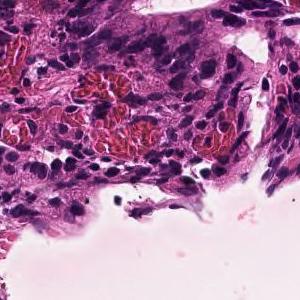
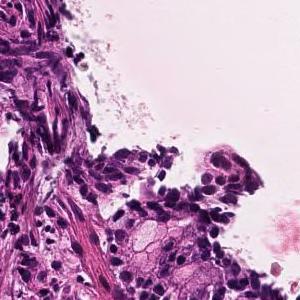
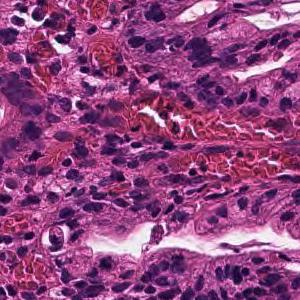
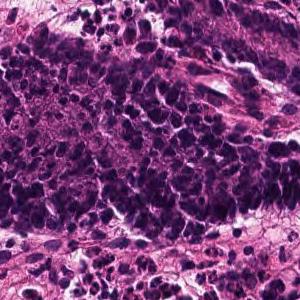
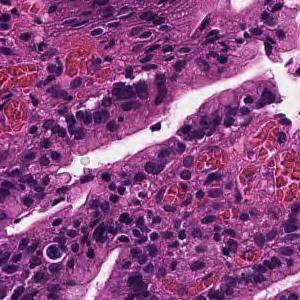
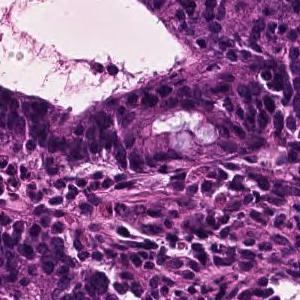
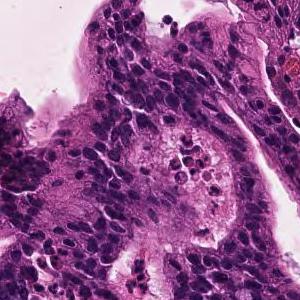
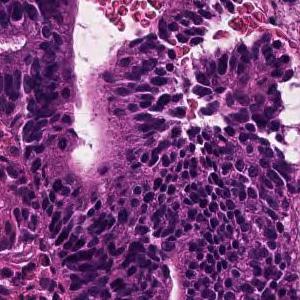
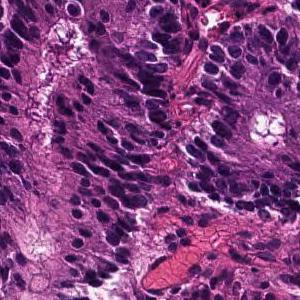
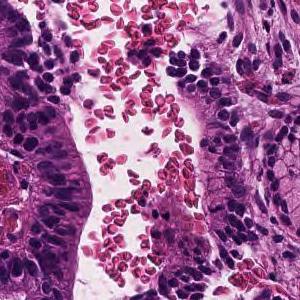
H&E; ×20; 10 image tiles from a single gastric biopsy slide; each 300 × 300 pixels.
Report on the slide these tiles come from. The findings and the diagnosis refer to the entire slide; these tiles show only part of it, possibly with non-tumor tissue, and may not show every feature named.
In the superficial epithelium, tumor tissue that invades by forming medium-sized to small, irregular ducts is observed. moderately differentiated tubular adenocarcinoma.
